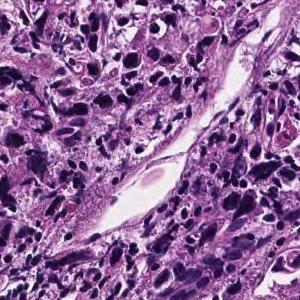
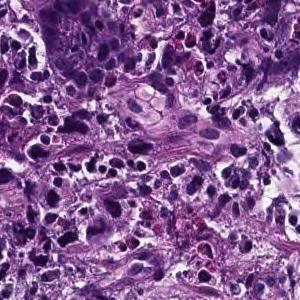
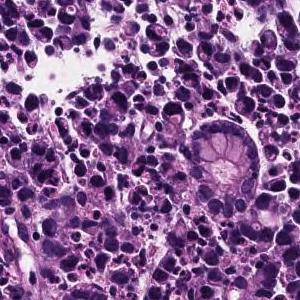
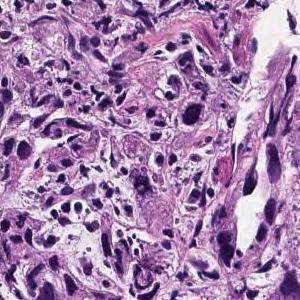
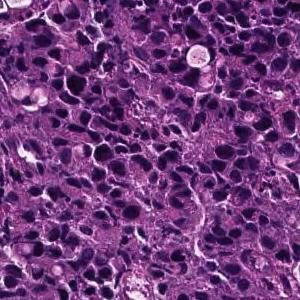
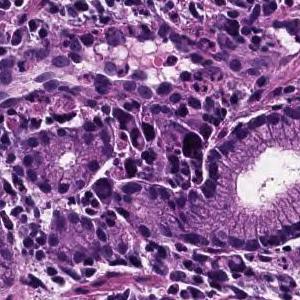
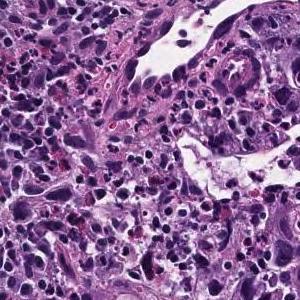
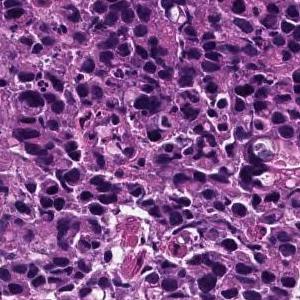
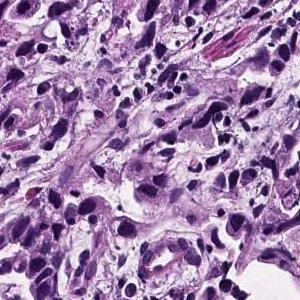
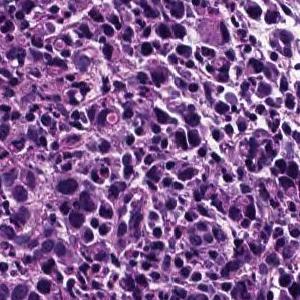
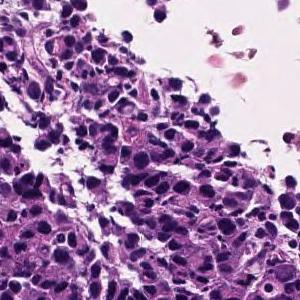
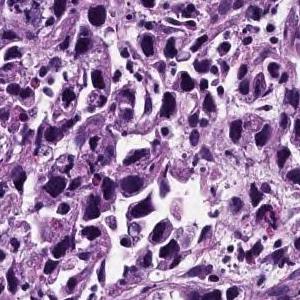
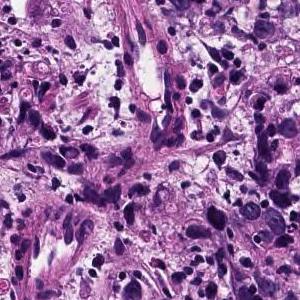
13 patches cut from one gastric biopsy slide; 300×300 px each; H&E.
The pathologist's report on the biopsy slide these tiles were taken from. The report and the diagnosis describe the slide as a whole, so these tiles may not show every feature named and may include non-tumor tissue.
The superficial epithelium shows a large sheet-like shape, and some tumor tissue infiltrates with small irregular ducts. Poorly differentiated adenocarcinoma, solid-type
Histological subtype: Poorly differentiated adenocarcinoma, solid type (Japanese Classification of Gastric Carcinoma). The WHO 2019 equivalent is tubular adenocarcinoma, poorly differentiated.
